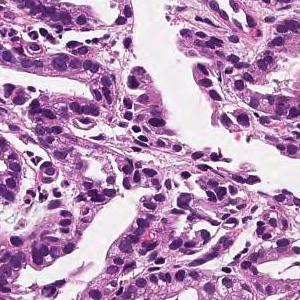
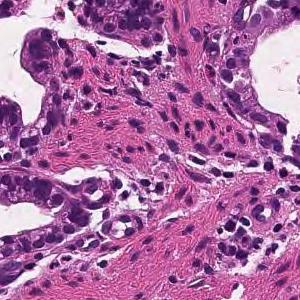
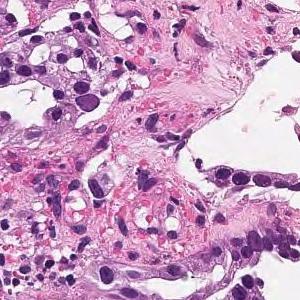
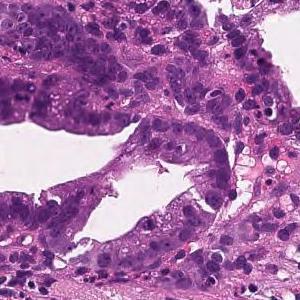
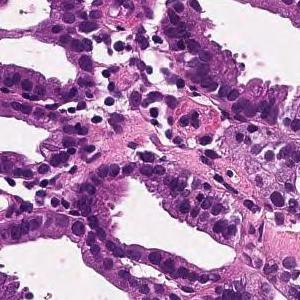
5 image tiles from a single gastric biopsy slide; ×20; H&E.
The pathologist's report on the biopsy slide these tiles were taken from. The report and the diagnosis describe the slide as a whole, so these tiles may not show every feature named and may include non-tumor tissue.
On the superficial epithelium, tumor tissue that infiltrates by forming medium-sized papillary or small irregular ducts is observed. Papillary adenocarcinoma
